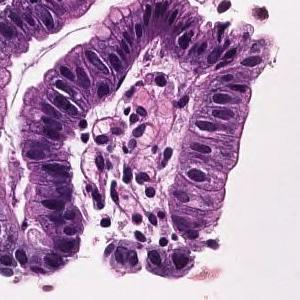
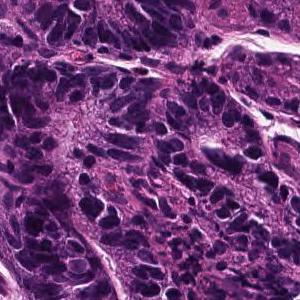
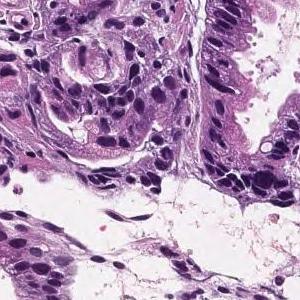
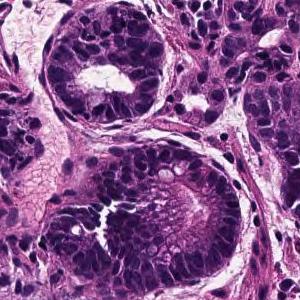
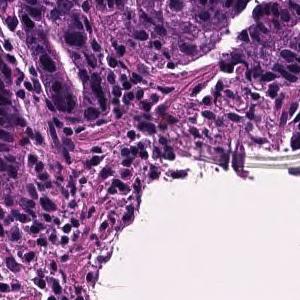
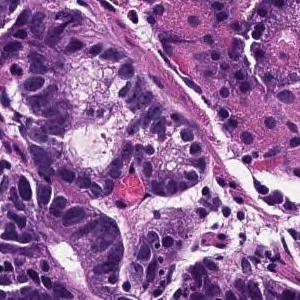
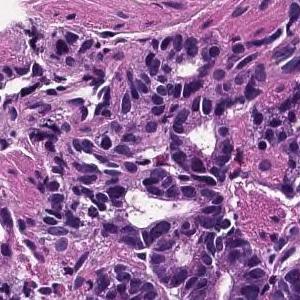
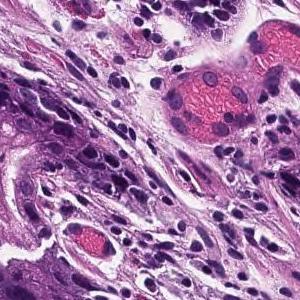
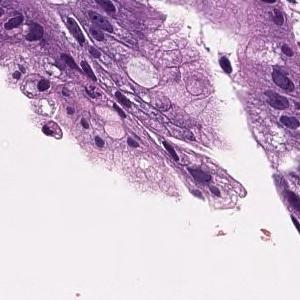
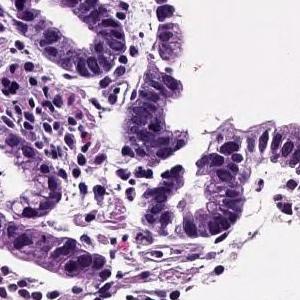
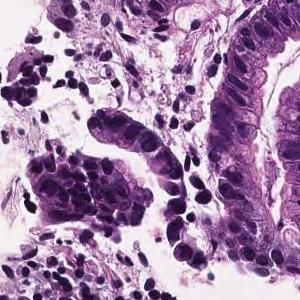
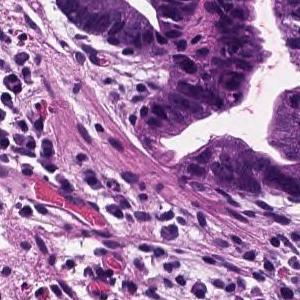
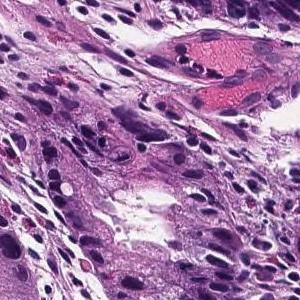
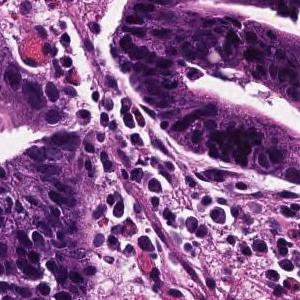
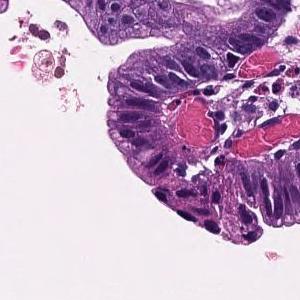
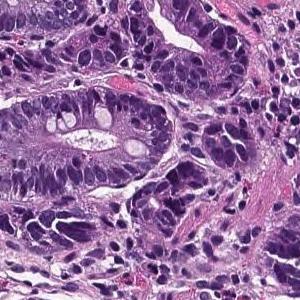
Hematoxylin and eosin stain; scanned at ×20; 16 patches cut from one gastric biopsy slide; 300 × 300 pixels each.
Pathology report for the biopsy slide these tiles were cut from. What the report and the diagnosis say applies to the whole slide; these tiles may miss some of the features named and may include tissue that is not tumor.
In the superficial epithelium, tumor tissue that invades by forming medium-sized to small, irregular ducts is observed. Well differentiated tubular adenocarcinoma.
